20× magnification · 14 image tiles from a single gastric biopsy slide · 300×300 px each.
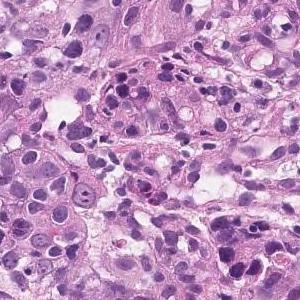
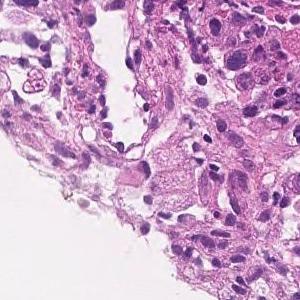
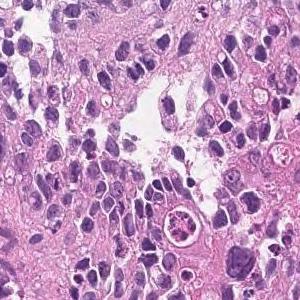
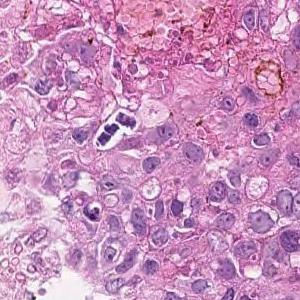
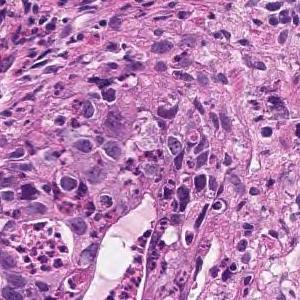
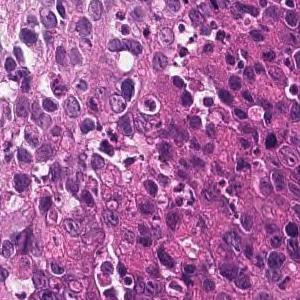
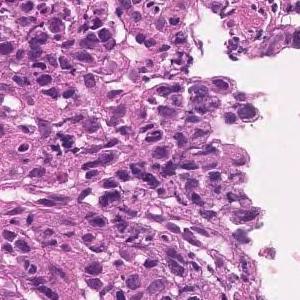
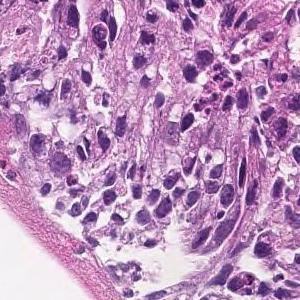
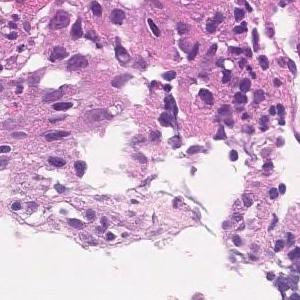
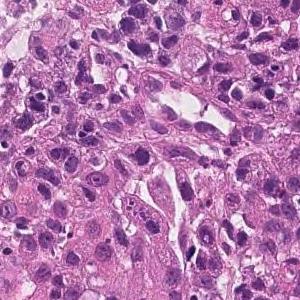
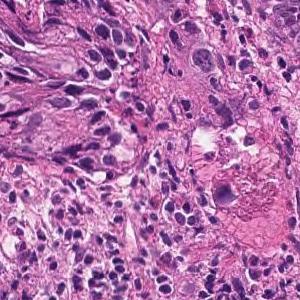
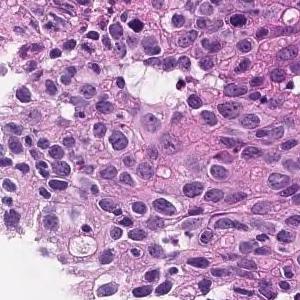
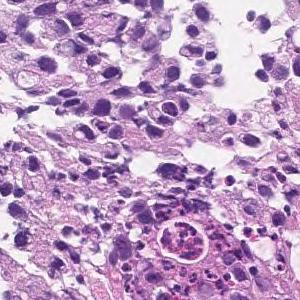
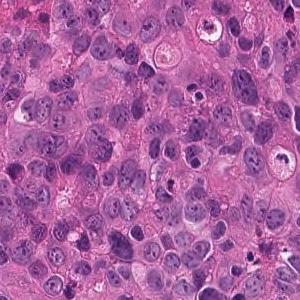
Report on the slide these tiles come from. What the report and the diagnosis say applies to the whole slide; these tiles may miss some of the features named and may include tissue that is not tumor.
The superficial epithelium shows a large sheet-like shape, and some tumor tissue infiltrates with small irregular ducts. Poorly differentiated adenocarcinoma, solid-type
Classified as poorly differentiated adenocarcinoma, solid type, a category of the Japanese Classification of Gastric Carcinoma; in the WHO 2019 classification it is tubular adenocarcinoma, poorly differentiated.
